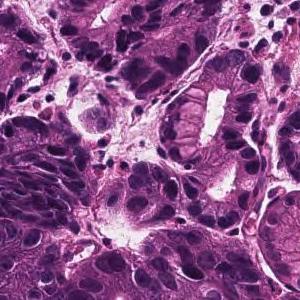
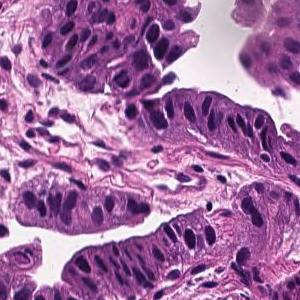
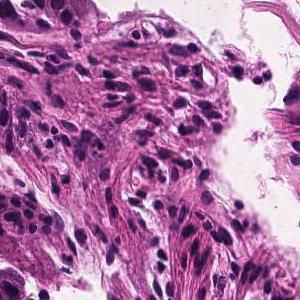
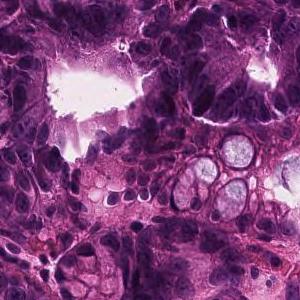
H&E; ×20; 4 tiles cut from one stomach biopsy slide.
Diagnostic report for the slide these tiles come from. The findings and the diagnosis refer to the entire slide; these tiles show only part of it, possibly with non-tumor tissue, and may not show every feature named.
In the superficial epithelium, tumor tissue that invades by forming medium-sized to small, irregular ducts is observed. Well differentiated tubular adenocarcinoma.
